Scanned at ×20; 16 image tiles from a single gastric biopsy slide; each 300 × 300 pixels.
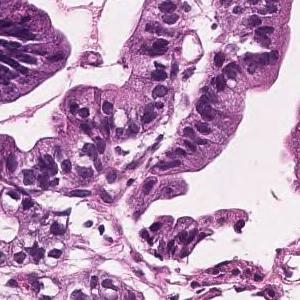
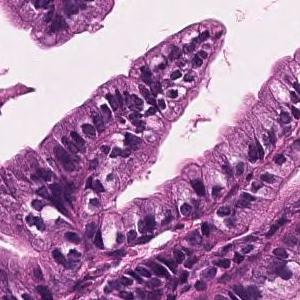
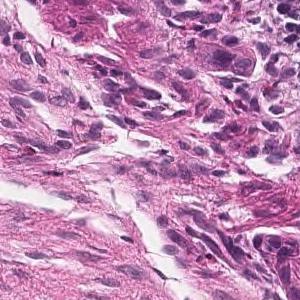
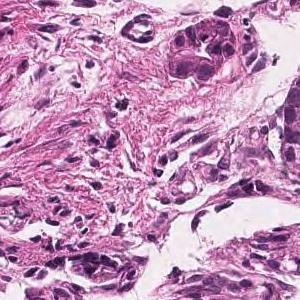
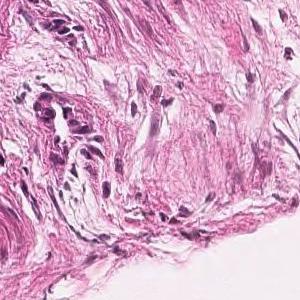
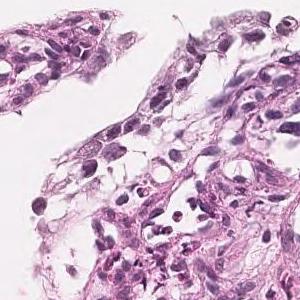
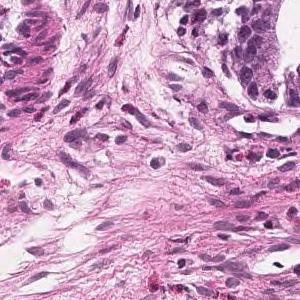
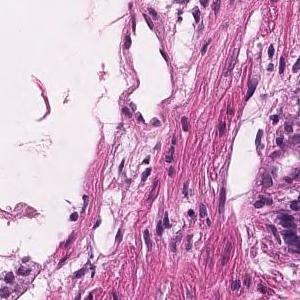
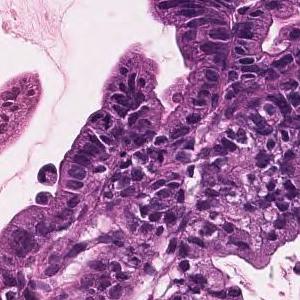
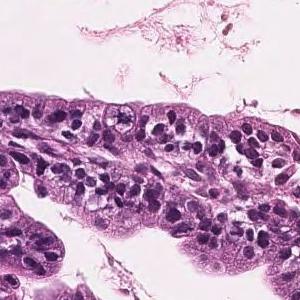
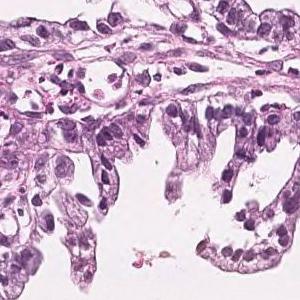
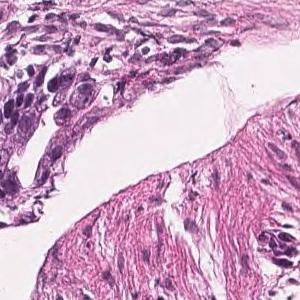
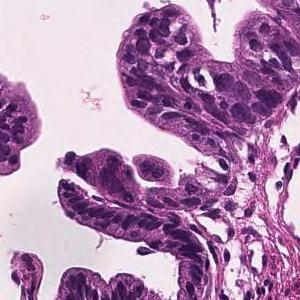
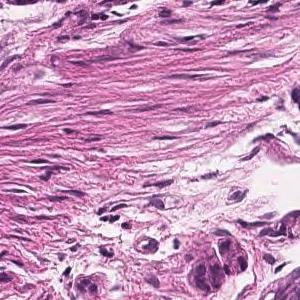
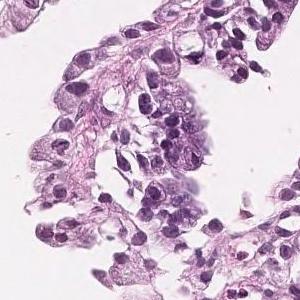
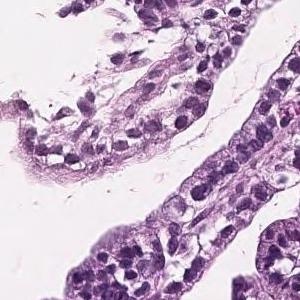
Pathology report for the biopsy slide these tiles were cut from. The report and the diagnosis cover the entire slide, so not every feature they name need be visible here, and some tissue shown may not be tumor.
Tumor cells are large, highly columnar, large club-shaped nuclei, and are associated with chromatin aggregation. Papillary adenocarcinoma.
